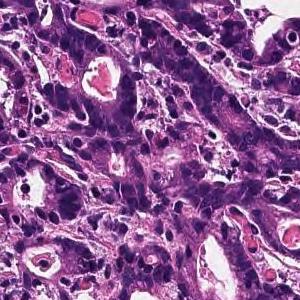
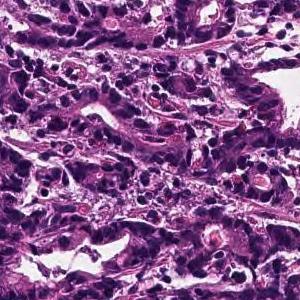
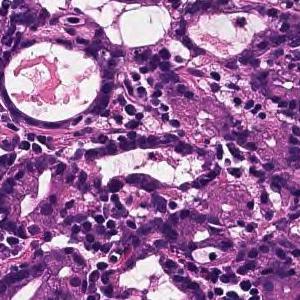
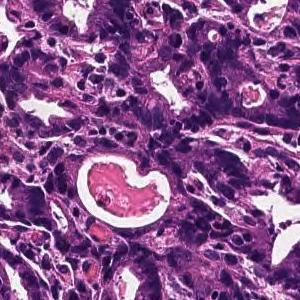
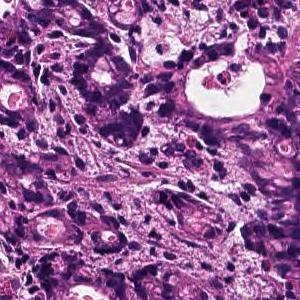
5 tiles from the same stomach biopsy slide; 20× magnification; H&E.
Pathology report for the biopsy slide these tiles were cut from. The findings and the diagnosis refer to the entire slide; these tiles show only part of it, possibly with non-tumor tissue, and may not show every feature named.
On the superficial epithelium, tumor tissue is found in which medium-sized irregular gland ducts fuse with each other and infiltrate. moderately differentiated tubular adenocarcinoma
